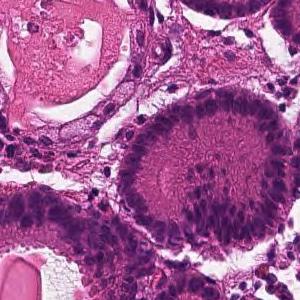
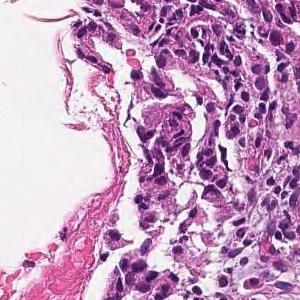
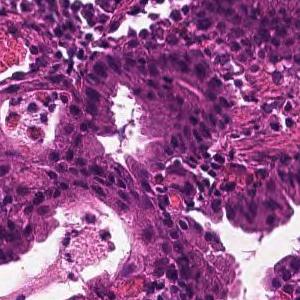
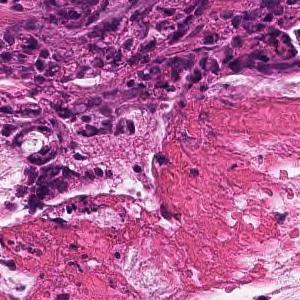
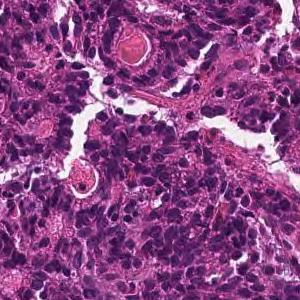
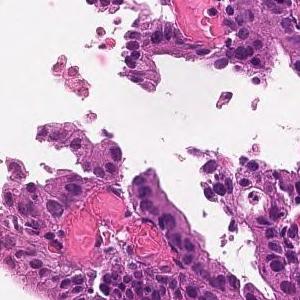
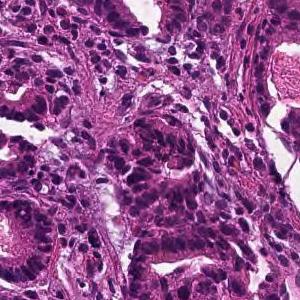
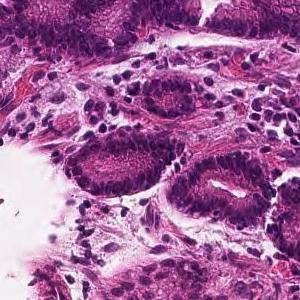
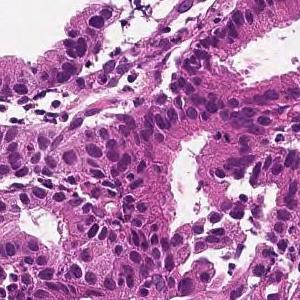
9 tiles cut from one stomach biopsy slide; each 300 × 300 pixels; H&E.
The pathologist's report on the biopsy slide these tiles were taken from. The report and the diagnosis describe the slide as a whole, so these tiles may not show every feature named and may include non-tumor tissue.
From the superficial epithelium to the muscularis mucosae, tumor tissue consisting of medium-sized and irregular glandular ducts infiltrating is observed. Well differentiated tubular adenocarcinoma
